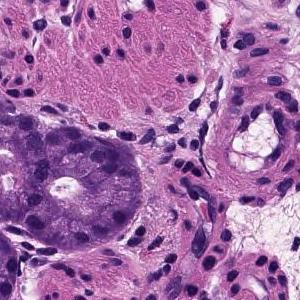
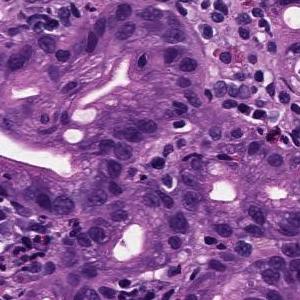
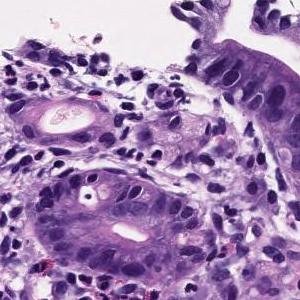
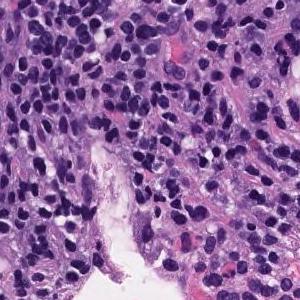
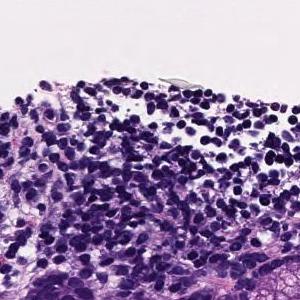
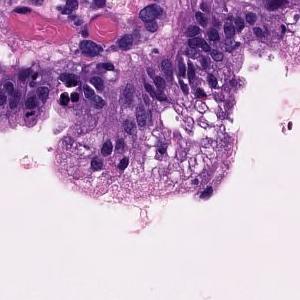
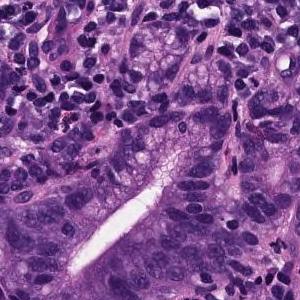
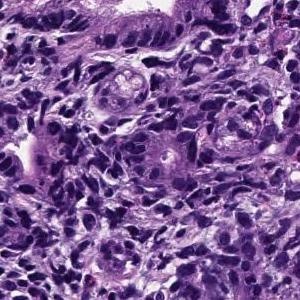
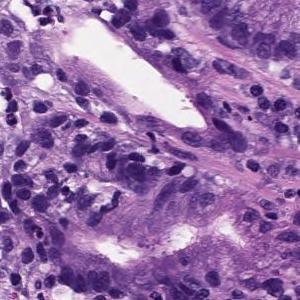
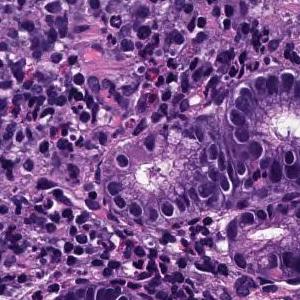
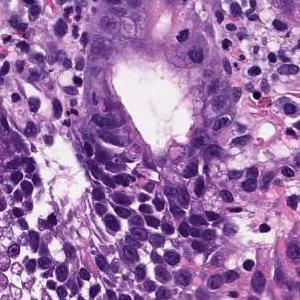
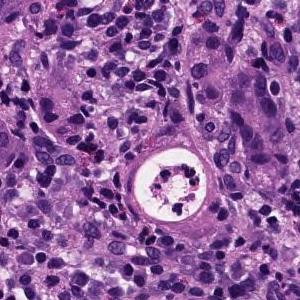
H&E; scanned at ×20; 12 image tiles from a single gastric biopsy slide.
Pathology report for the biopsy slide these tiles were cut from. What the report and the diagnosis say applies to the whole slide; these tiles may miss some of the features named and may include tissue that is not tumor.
Medium to small, irregular glandular ducts are formed in the superficial epithelium, and in some cases, the glandular ducts are fused to show solid alveolar lesions and infiltrating tumor tissue is observed. Moderately to poorly differentiated adenocarcinoma.
